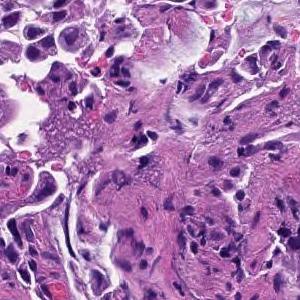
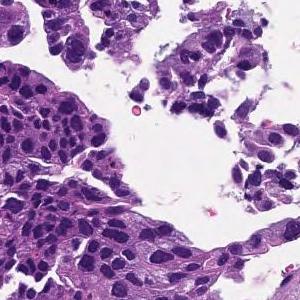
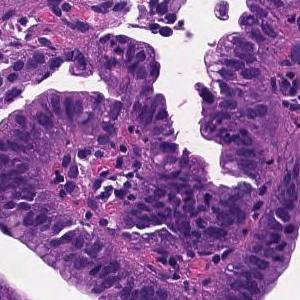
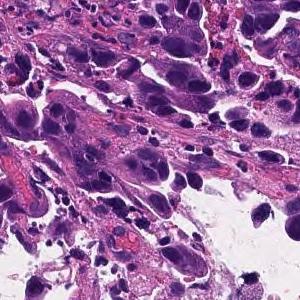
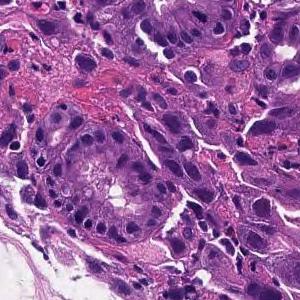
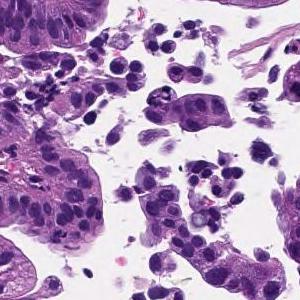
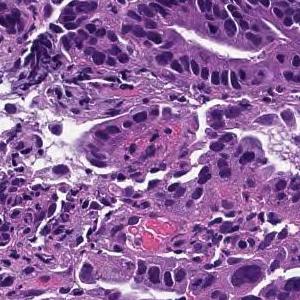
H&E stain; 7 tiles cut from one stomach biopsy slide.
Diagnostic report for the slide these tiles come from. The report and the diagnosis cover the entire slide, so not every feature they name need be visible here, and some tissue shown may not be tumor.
Tumor tissue consisting of medium-sized, cord-like or irregular glandular infiltration is observed in the superficial epithelium. Poorly differentiated adenocarcinoma, non-solid type or moderately differentiated tubular adenocarcinoma
Histological subtype: Moderately to poorly differentiated adenocarcinoma.
The term "non-solid type" comes from the Japanese Classification of Gastric Carcinoma.
